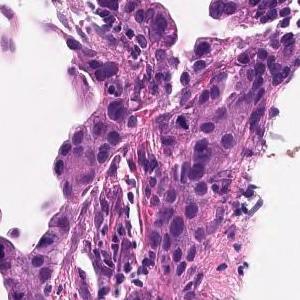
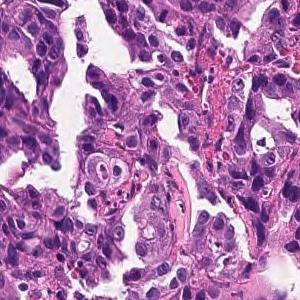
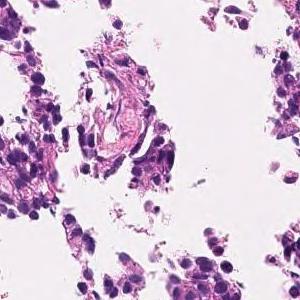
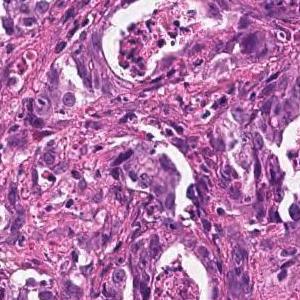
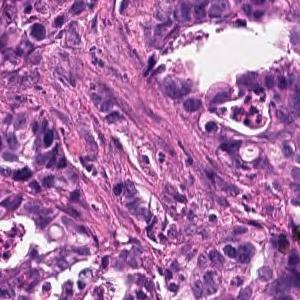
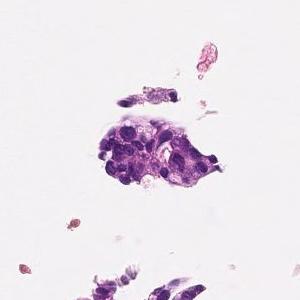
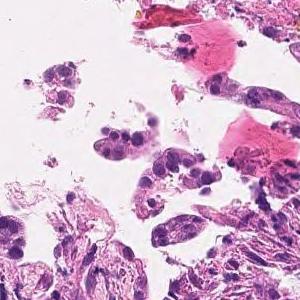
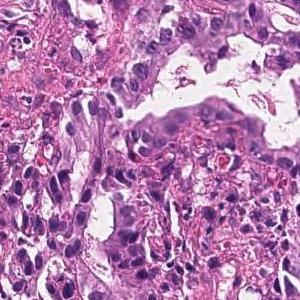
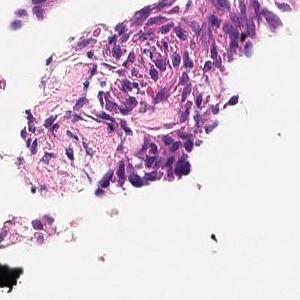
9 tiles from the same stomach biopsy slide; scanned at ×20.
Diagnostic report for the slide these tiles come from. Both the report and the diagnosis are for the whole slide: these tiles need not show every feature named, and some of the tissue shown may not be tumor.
On the superficial epithelium, tumor tissue consisting of images of small to medium-sized and irregular tubules infiltrating with irregular fusion is observed. moderately differentiated tubular adenocarcinoma
